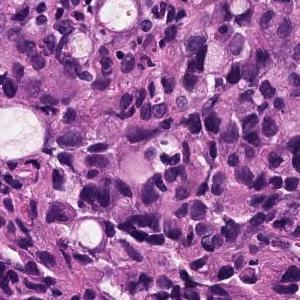
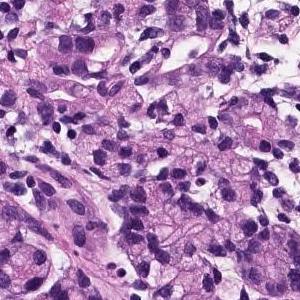
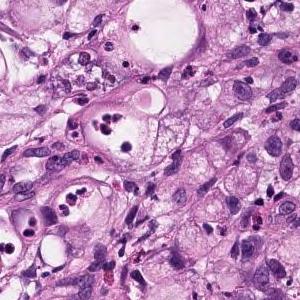
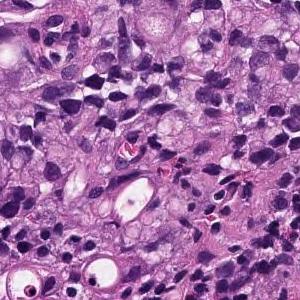
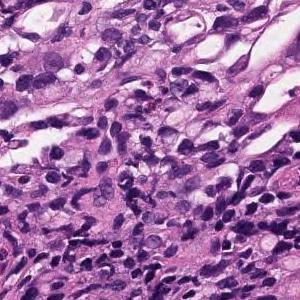
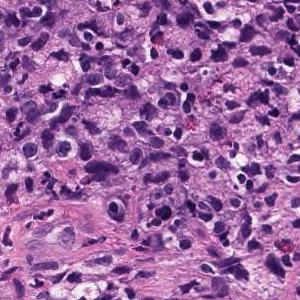
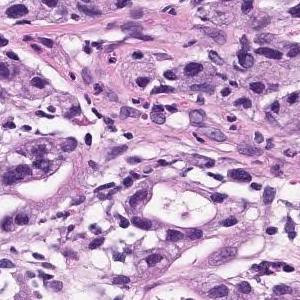
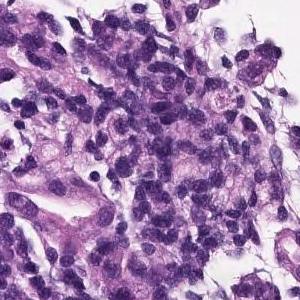
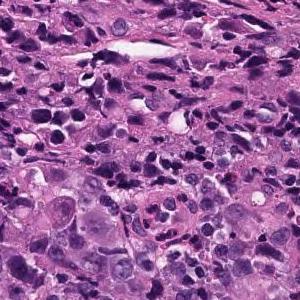
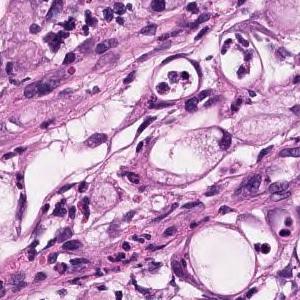
10 tiles from the same stomach biopsy slide · H&E stain.
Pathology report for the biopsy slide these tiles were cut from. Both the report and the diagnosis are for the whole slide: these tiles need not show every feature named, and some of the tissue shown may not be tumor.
Atypical epithelium forms irregularly fused gland ducts and proliferates. Poorly differentiated adenocarcinoma.
Tumor subtype: poorly differentiated adenocarcinoma, non-solid type.
The term "non-solid type" comes from the Japanese Classification of Gastric Carcinoma.
